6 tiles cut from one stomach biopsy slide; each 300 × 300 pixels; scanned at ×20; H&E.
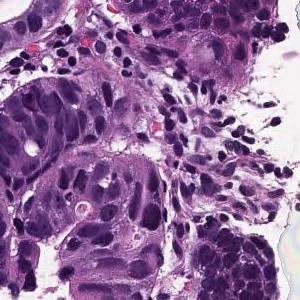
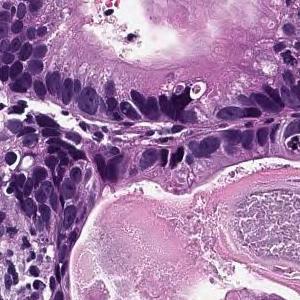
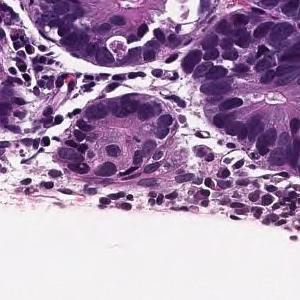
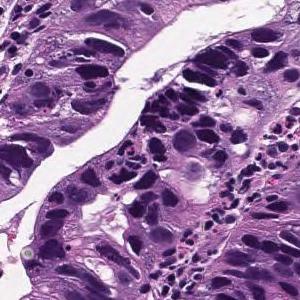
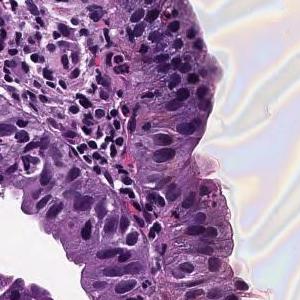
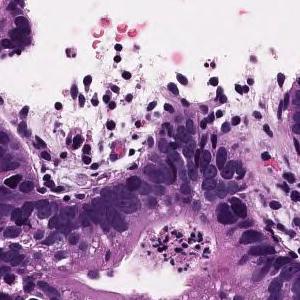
The pathologist's report on the biopsy slide these tiles were taken from. The report and the diagnosis describe the slide as a whole, so these tiles may not show every feature named and may include non-tumor tissue.
From the superficial epithelium to the muscularis mucosae, tumor tissue consisting of medium-sized and irregular glandular ducts infiltrating is observed. Well differentiated tubular adenocarcinoma
